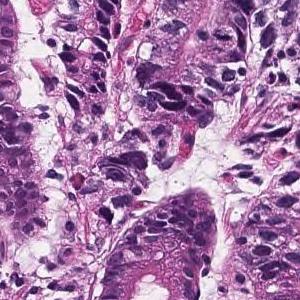
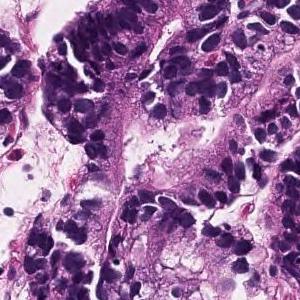
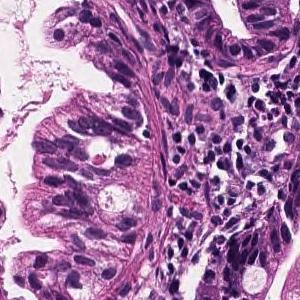
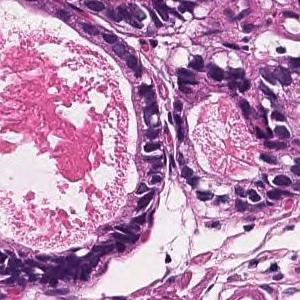
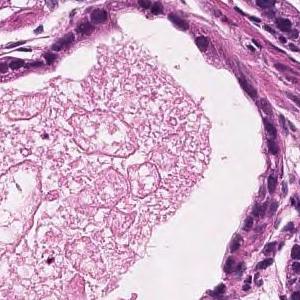
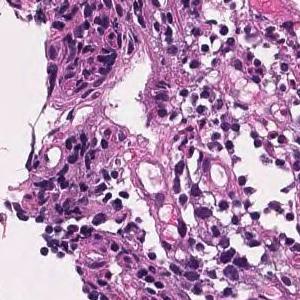
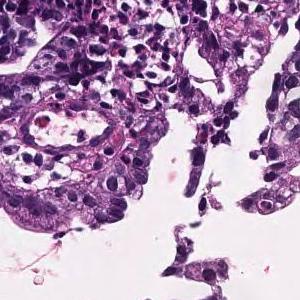
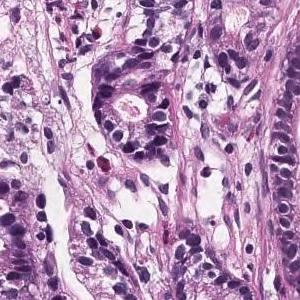
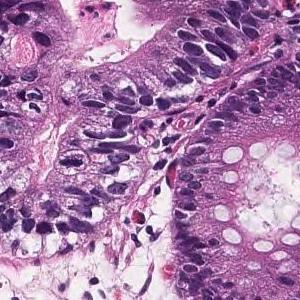
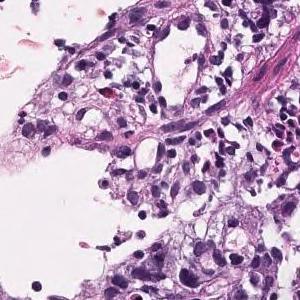
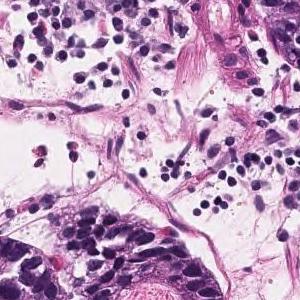
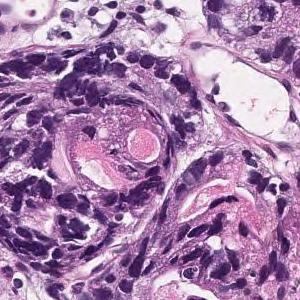
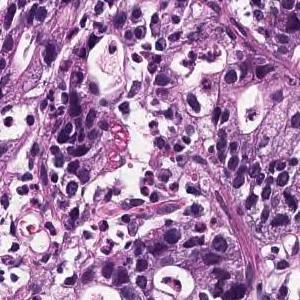
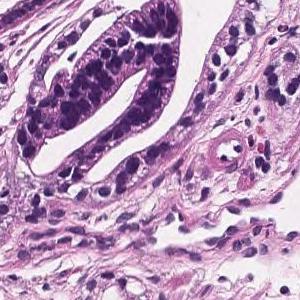
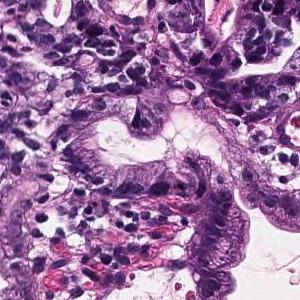
15 patches cut from one gastric biopsy slide; 300 × 300 pixels each; 20× magnification.
Diagnostic report for the slide these tiles come from. The report describes the whole slide, diagnosis included: not every finding it names need appear in these tiles, which may also show non-tumor tissue.
Tumor tissue consisting of medium-sized and irregular ducts is observed infiltrating in the superficial epithelium. Tumor cells are highly columnar, with nuclei aligned basolaterally and polarized. Well differentiated tubular adenocarcinoma.
